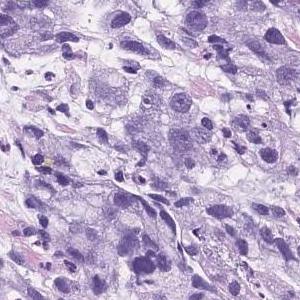
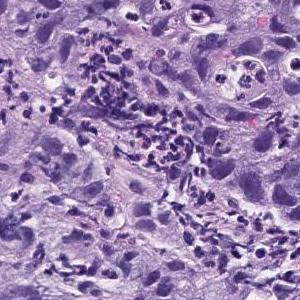
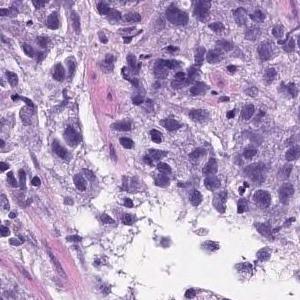
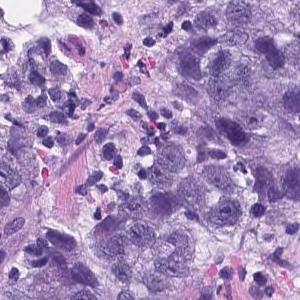
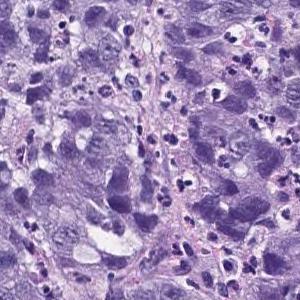
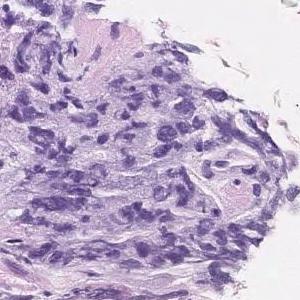
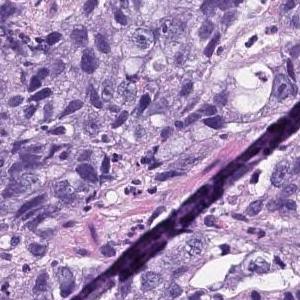
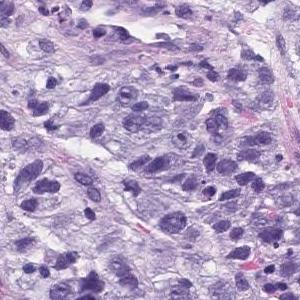
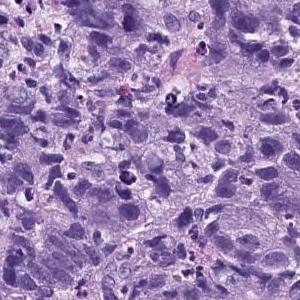
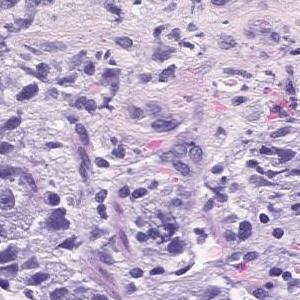
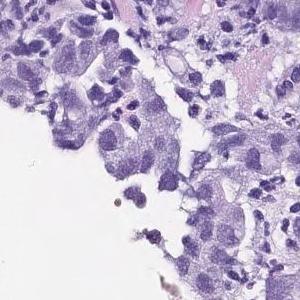
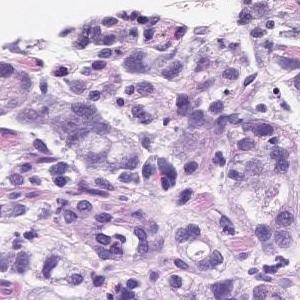
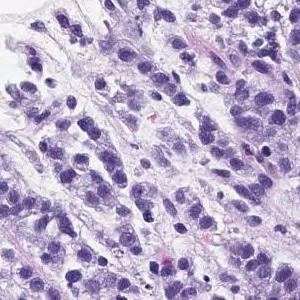
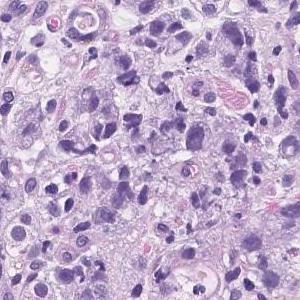
Hematoxylin and eosin stain, 14 tiles from the same stomach biopsy slide, 300 × 300 pixels each.
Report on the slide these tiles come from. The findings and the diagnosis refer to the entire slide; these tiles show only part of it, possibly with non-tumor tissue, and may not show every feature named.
Atypical l cells with atypical nuclei forming solid vesicles or small irregular atypical ducts that proliferate in a complex manner. poorly differentiated adenocarcinoma, solid type, moderately differentiated tubular adenocarcinoma
The term "solid type" comes from the Japanese Classification of Gastric Carcinoma; the WHO 2019 equivalent is tubular adenocarcinoma, poorly differentiated.
